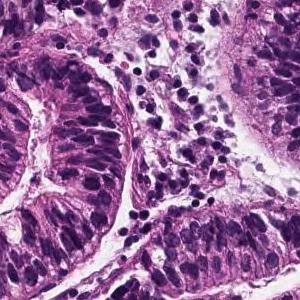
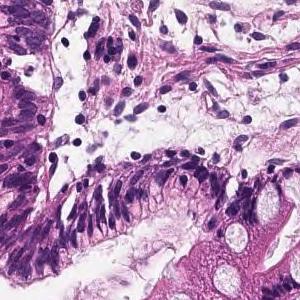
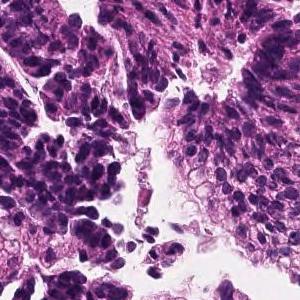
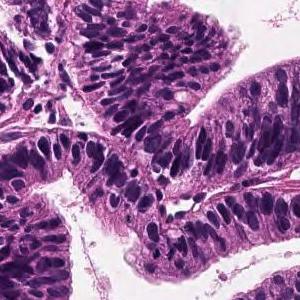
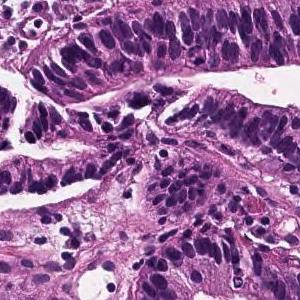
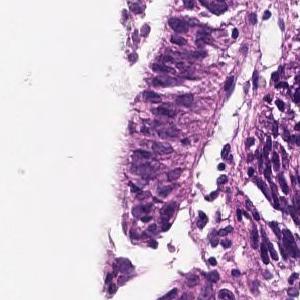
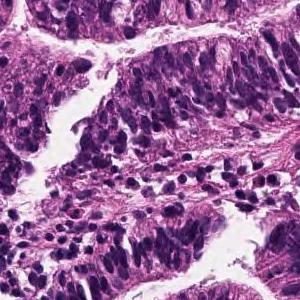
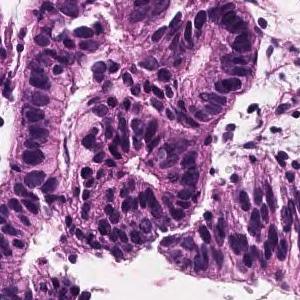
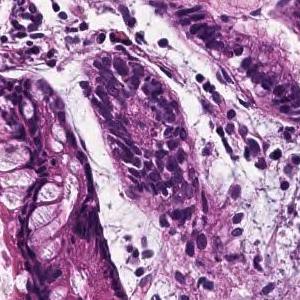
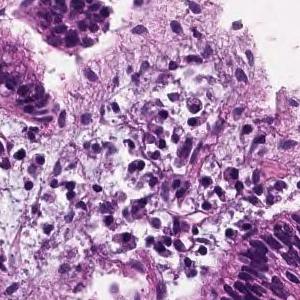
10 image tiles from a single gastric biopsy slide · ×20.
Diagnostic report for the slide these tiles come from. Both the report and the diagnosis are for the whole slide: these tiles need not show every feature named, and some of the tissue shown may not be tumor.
Tumor cells are large, highly columnar, large club-shaped nuclei, and are associated with chromatin aggregation. Papillary adenocarcinoma.
